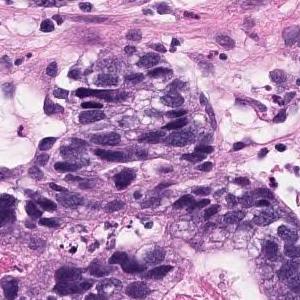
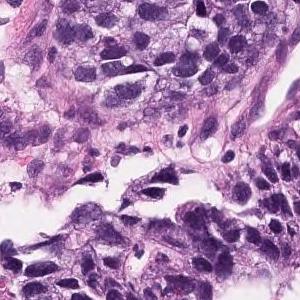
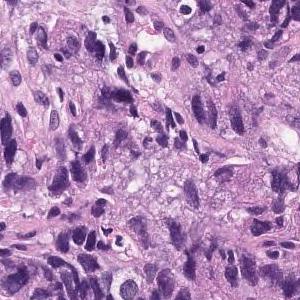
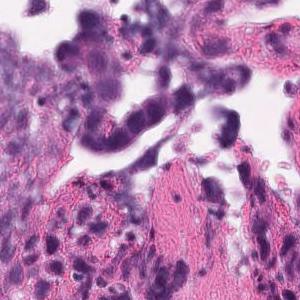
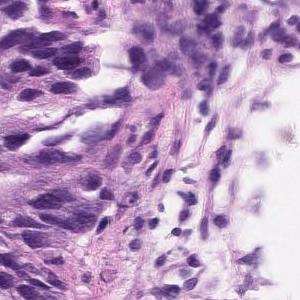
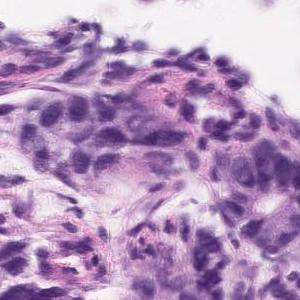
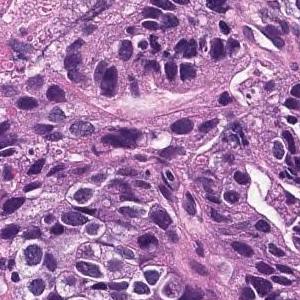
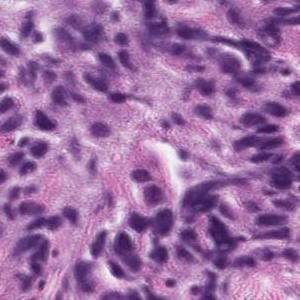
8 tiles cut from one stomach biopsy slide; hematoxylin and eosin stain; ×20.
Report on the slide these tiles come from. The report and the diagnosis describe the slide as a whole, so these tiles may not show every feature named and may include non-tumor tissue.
Medium to small, irregular glandular ducts are formed in the superficial epithelium, and in some cases, the glandular ducts are fused to show solid alveolar lesions and infiltrating tumor tissue is observed. Moderately to poorly differentiated adenocarcinoma.
